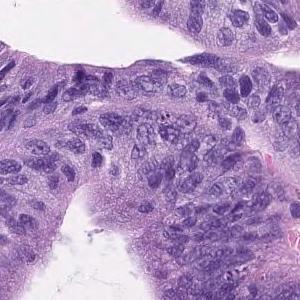
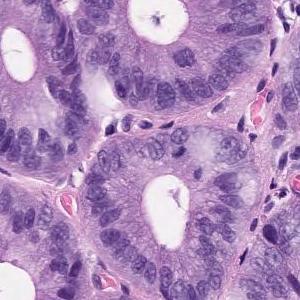
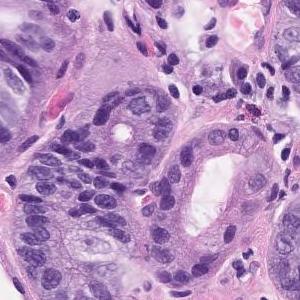
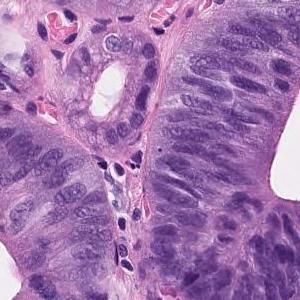
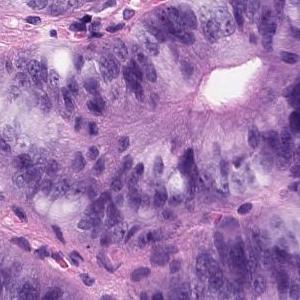
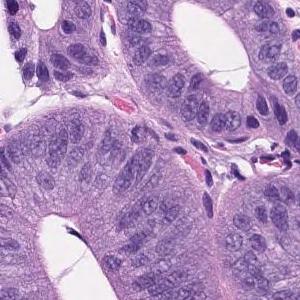
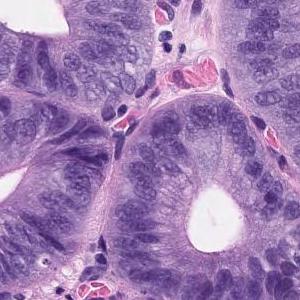
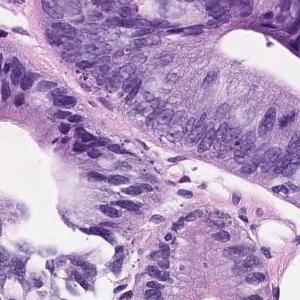
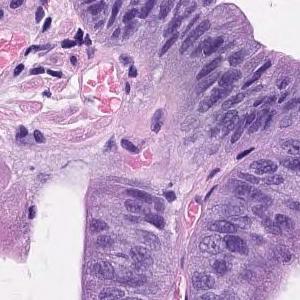
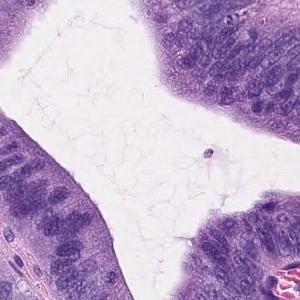
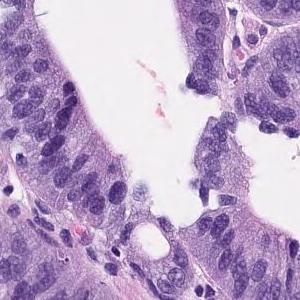
11 patches cut from one gastric biopsy slide, H&E, scanned at ×20.
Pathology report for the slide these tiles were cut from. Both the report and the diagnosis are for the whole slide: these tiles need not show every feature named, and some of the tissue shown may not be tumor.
On the superficial epithelium, tumor tissue consisting of images of atypical ducts of different sizes partially fused and densely proliferating is observed. Well differentiated tubular adenocarcinoma
